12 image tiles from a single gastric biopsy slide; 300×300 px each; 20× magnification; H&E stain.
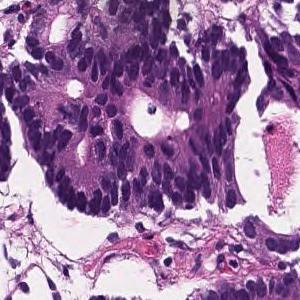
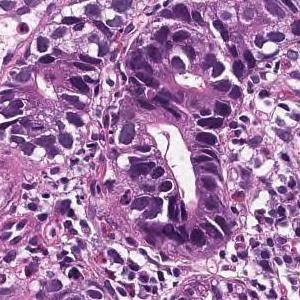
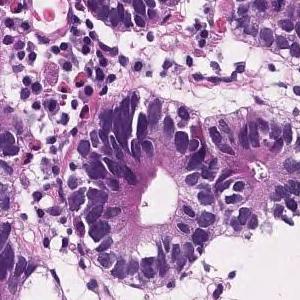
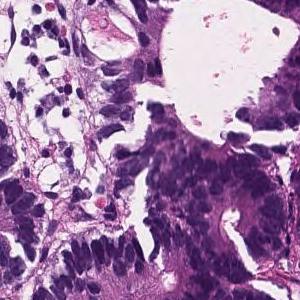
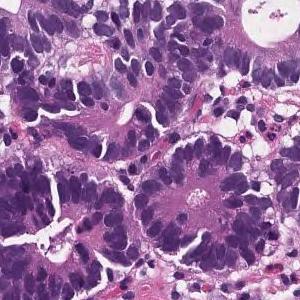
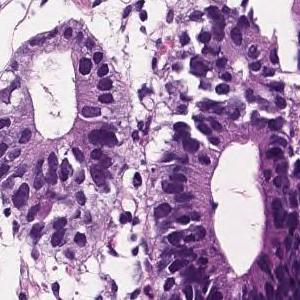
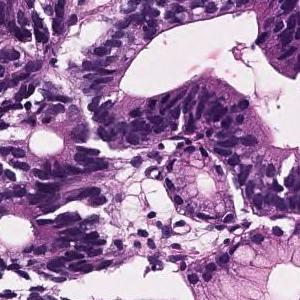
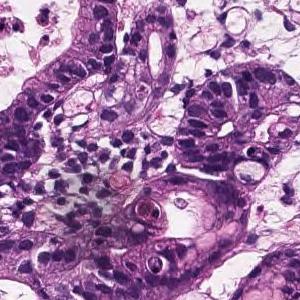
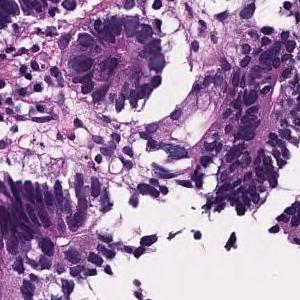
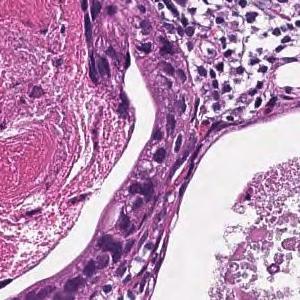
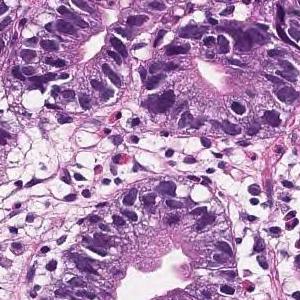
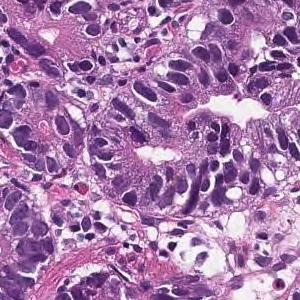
Report on the slide these tiles come from. The report describes the whole slide, diagnosis included: not every finding it names need appear in these tiles, which may also show non-tumor tissue.
On the superficial epithelium, tumor tissue consisting of large, irregular glandular ducts partially fused and infiltrated is observed. Well to moderately differentiated tubular adenocarcinoma (well differentiated tubular adenocarcinoma, moderately differentiated tubular adenocarcinoma)
Classified as well to moderately differentiated tubular adenocarcinoma.
